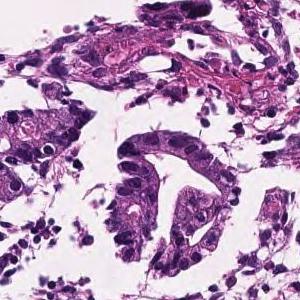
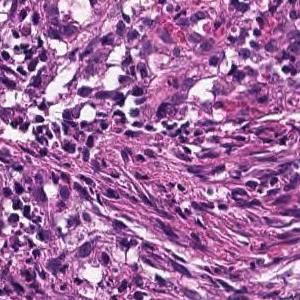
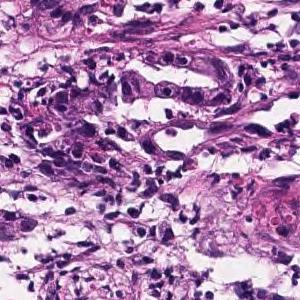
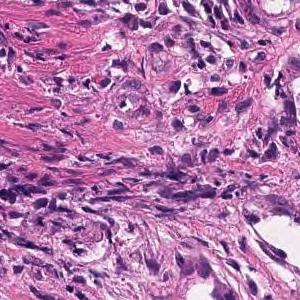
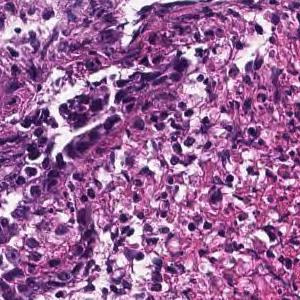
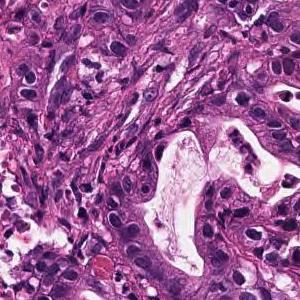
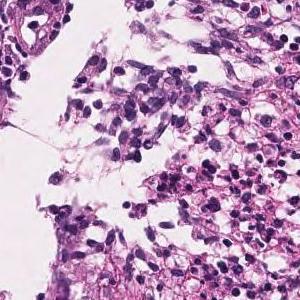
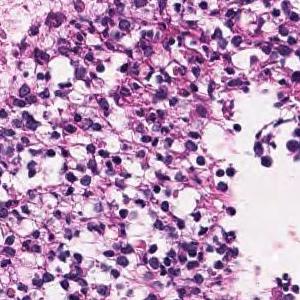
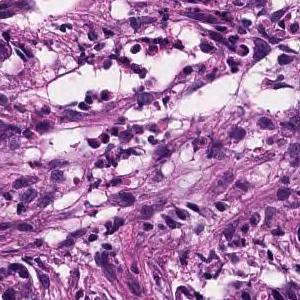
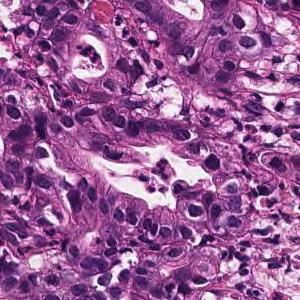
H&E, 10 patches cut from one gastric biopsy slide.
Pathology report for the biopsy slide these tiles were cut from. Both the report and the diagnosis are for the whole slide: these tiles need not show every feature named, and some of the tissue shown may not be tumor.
In the superficial epithelium, medium to small, irregular gland ducts are formed, and in some cases, the gland ducts are fused to show solid alveolar lesions and infiltrating tumor tissue is observed. Moderately to poorly differentiated adenocarcinoma.
